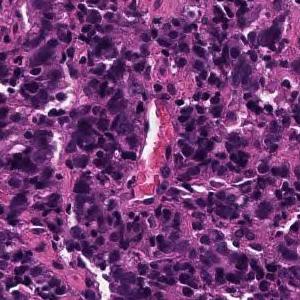
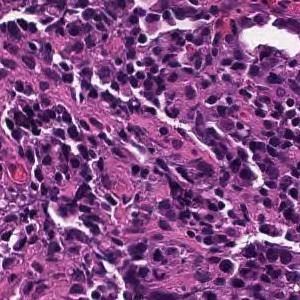
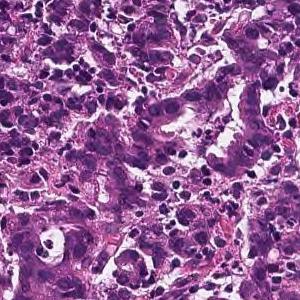
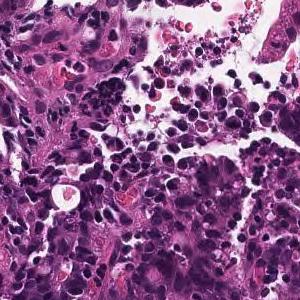
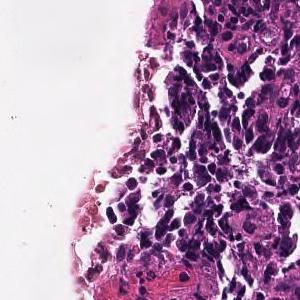
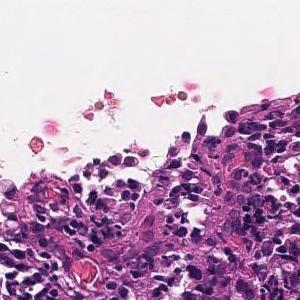
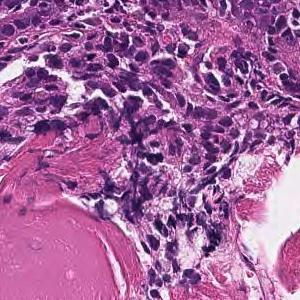
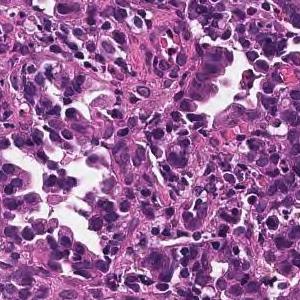
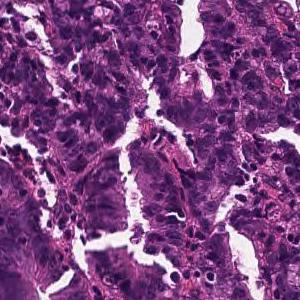
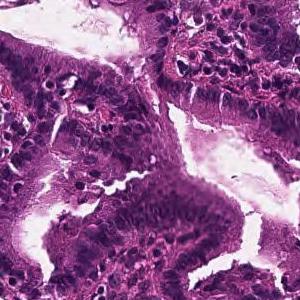
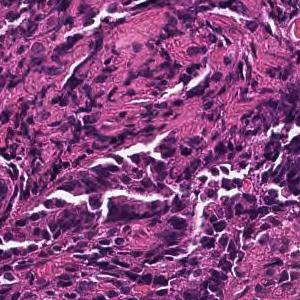
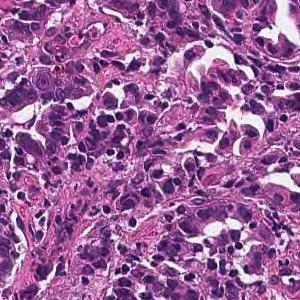
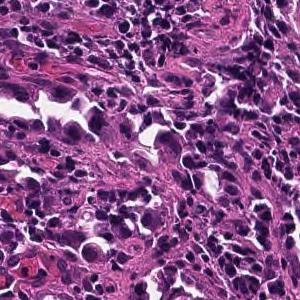
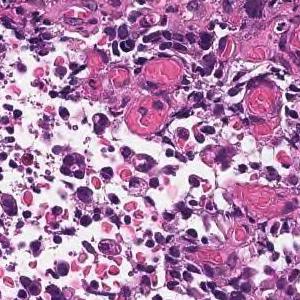
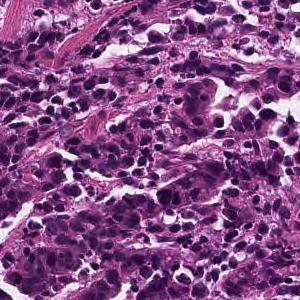
15 image tiles from a single gastric biopsy slide · 300 × 300 pixels each · hematoxylin and eosin stain.
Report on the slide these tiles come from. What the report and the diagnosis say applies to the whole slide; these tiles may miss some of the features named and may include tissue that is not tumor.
In the superficial epithelium, tumor tissue that invades by forming medium-sized to small, irregular ducts is observed. moderately differentiated tubular adenocarcinoma.
